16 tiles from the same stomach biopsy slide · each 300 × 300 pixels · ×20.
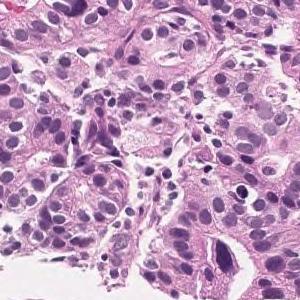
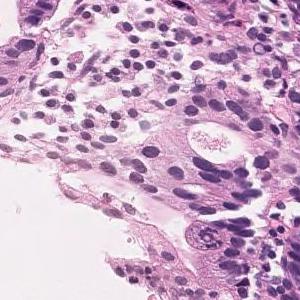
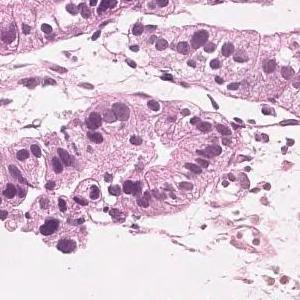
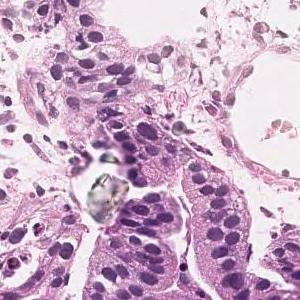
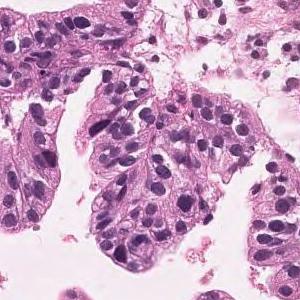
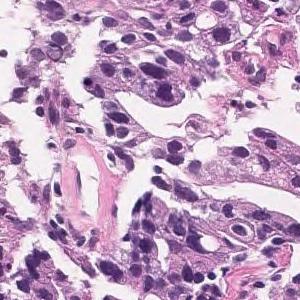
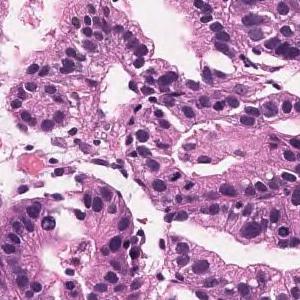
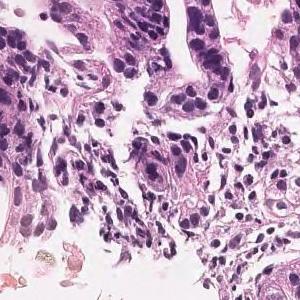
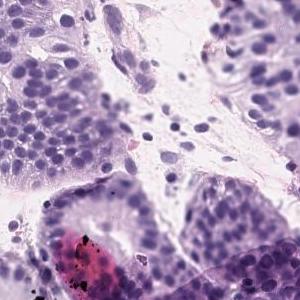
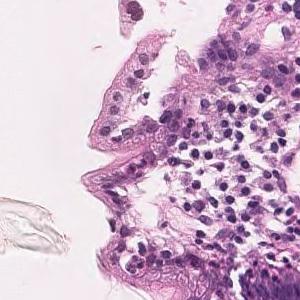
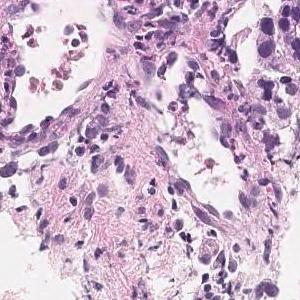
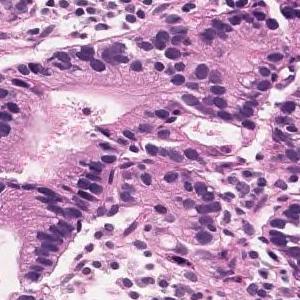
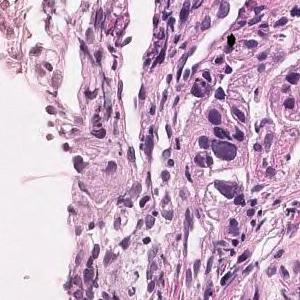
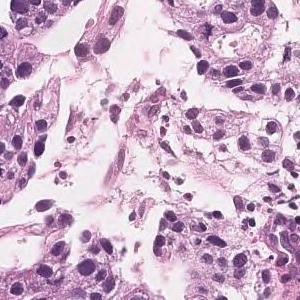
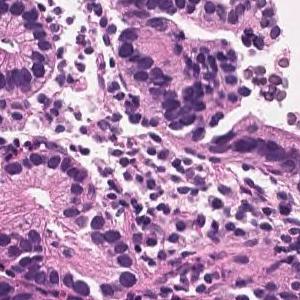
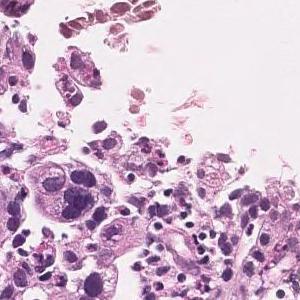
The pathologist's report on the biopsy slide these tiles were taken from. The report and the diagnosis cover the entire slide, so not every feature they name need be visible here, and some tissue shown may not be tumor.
In the superficial epithelium, tumor tissue that invades by forming medium-sized to small, irregular ducts is observed. moderately differentiated tubular adenocarcinoma.
